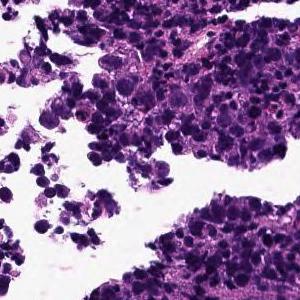
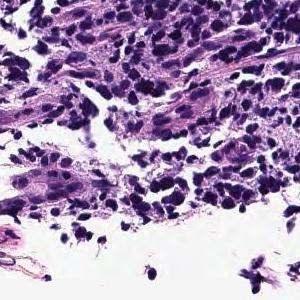
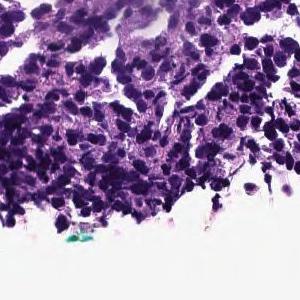
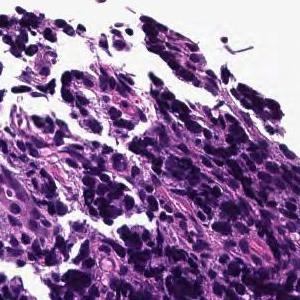
Hematoxylin and eosin stain, 4 patches cut from one gastric biopsy slide, each 300 × 300 pixels.
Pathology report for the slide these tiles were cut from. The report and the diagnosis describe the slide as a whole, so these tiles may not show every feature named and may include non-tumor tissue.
The superficial epithelium shows large alveolar or sheet-like forms, and some tumor tissue infiltrates with small irregular ducts. Poorly differentiated adenocarcinoma, solid-type
Histological subtype: Poorly differentiated adenocarcinoma, solid type (Japanese Classification of Gastric Carcinoma). The WHO 2019 equivalent is tubular adenocarcinoma, poorly differentiated.
